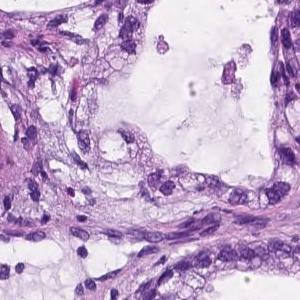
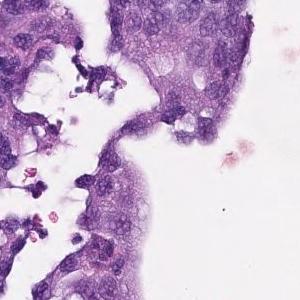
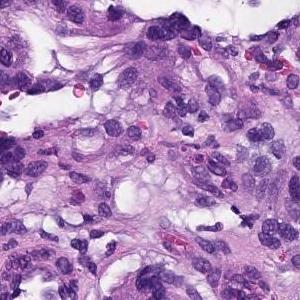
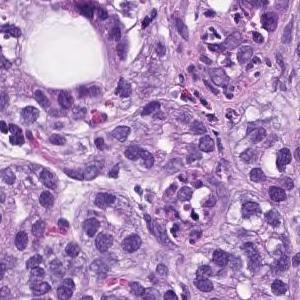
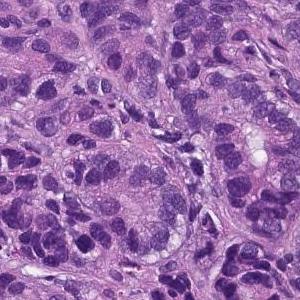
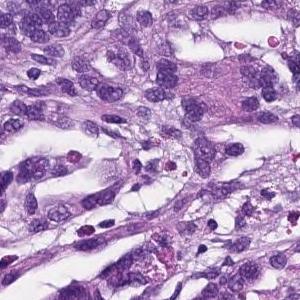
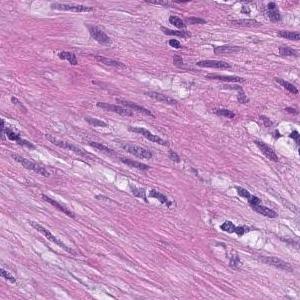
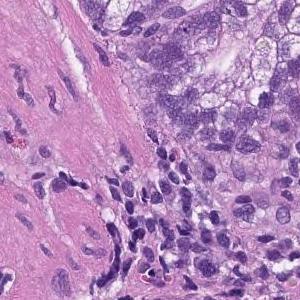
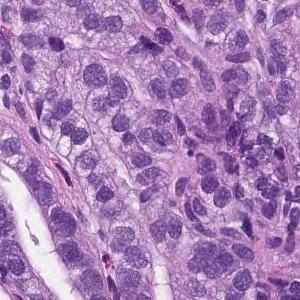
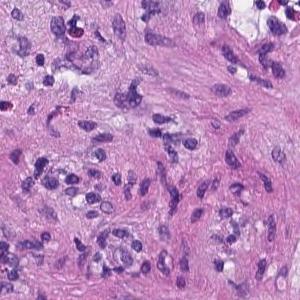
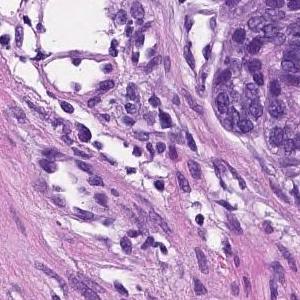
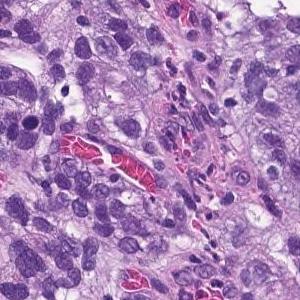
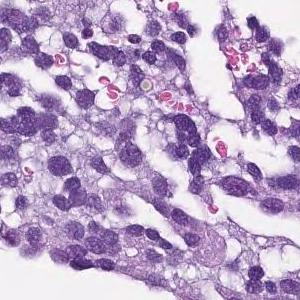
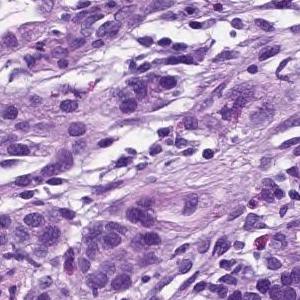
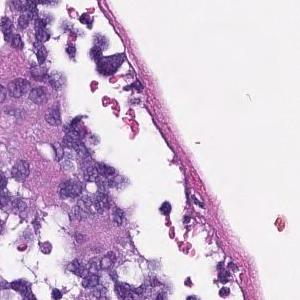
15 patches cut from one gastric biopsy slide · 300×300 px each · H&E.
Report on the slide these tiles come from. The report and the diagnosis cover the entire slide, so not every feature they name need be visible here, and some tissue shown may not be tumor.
From the superficial epithelium to the muscularis mucosae, tumor tissue consisting of medium-sized and irregular glandular ducts infiltrating is observed. Well differentiated tubular adenocarcinoma
